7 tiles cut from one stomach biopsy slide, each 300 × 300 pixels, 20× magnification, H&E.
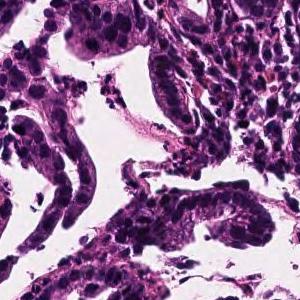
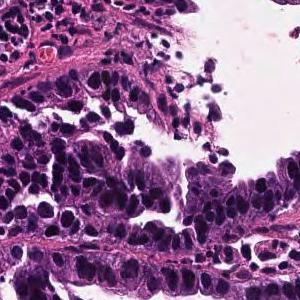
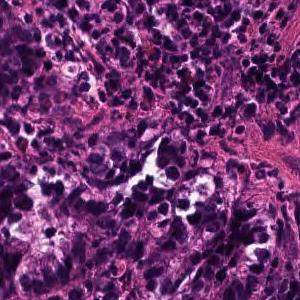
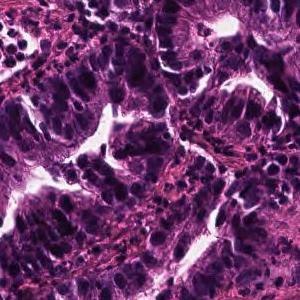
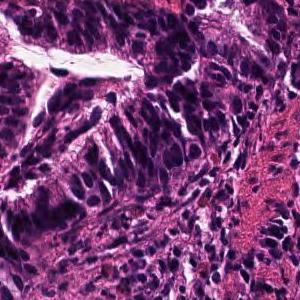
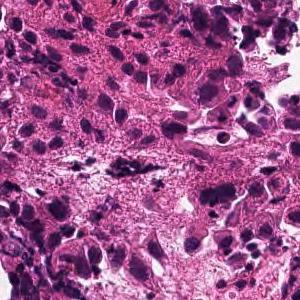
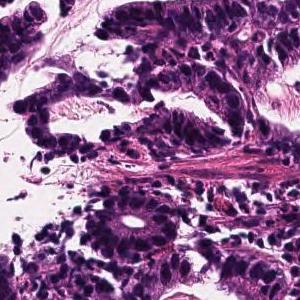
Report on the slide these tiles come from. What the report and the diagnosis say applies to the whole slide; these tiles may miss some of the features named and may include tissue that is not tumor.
Tumor tissue consisting of large papillary structures is found in the superficial epithelium. Papillary adenocarcinoma.
